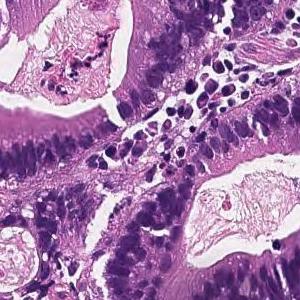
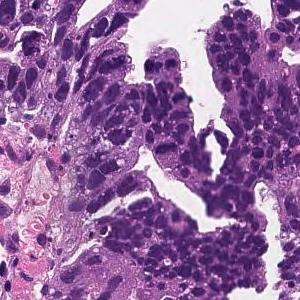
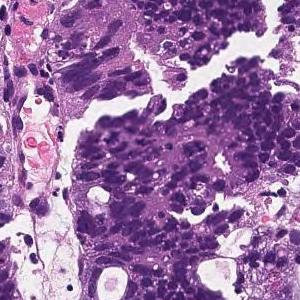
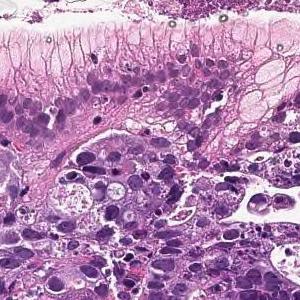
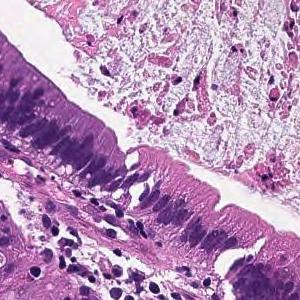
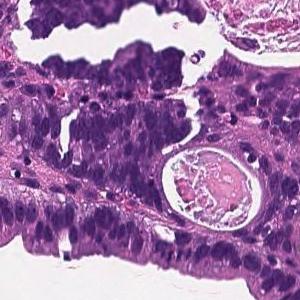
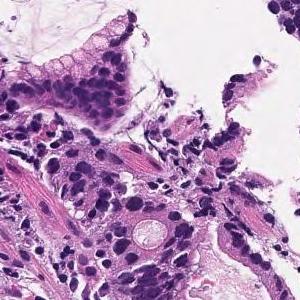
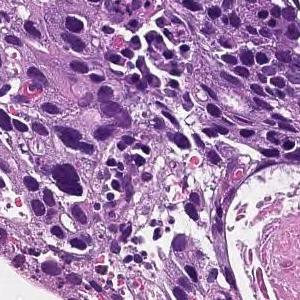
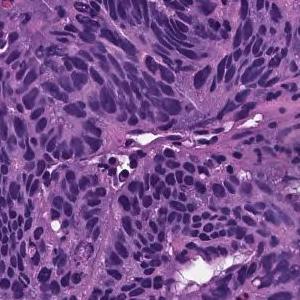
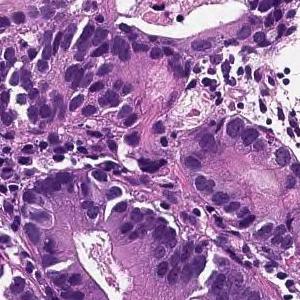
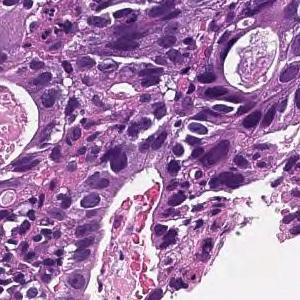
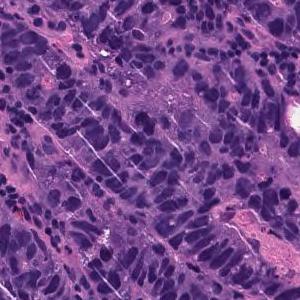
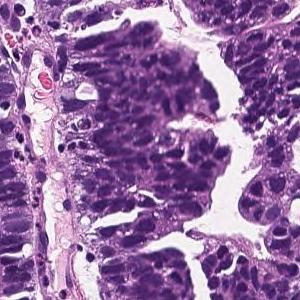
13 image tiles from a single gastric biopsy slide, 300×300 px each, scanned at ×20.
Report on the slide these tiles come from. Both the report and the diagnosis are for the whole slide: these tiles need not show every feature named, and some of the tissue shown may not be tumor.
In the superficial epithelium, tumor tissue that invades by forming medium-sized to small, irregular ducts is observed. moderately differentiated tubular adenocarcinoma.
